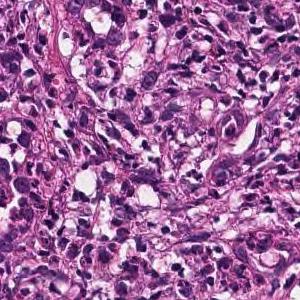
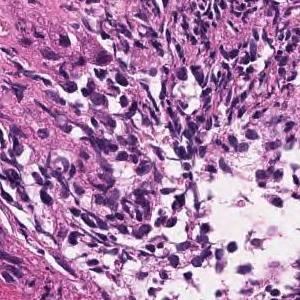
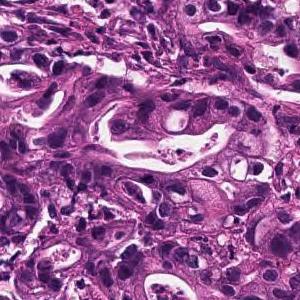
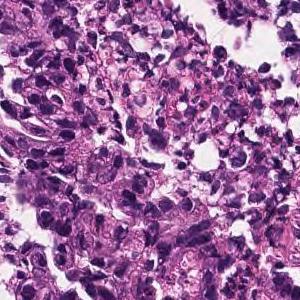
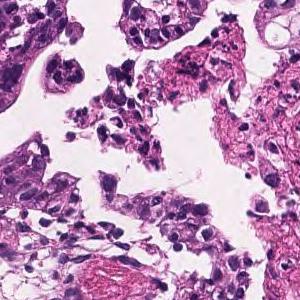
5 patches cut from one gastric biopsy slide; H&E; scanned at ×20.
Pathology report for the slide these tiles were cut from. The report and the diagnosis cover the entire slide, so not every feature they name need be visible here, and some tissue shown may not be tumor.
In the superficial epithelium, medium to small, irregular gland ducts are formed, and in some cases, the gland ducts are fused to show solid alveolar lesions and infiltrating tumor tissue is observed. Moderately to poorly differentiated adenocarcinoma.
